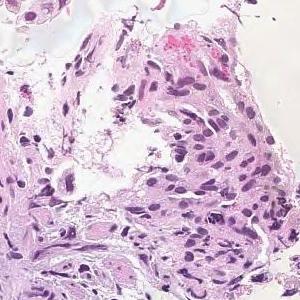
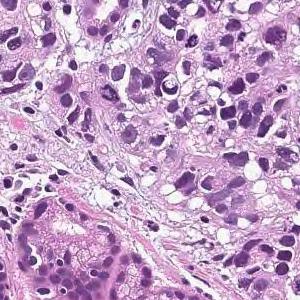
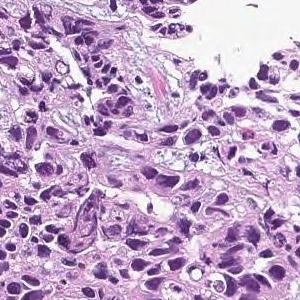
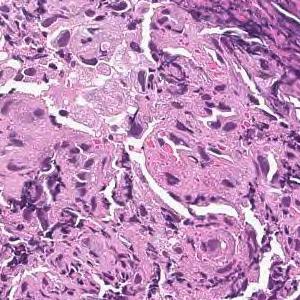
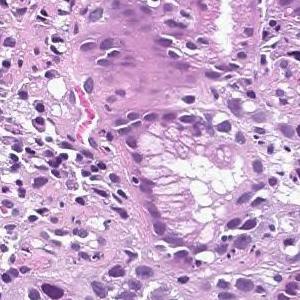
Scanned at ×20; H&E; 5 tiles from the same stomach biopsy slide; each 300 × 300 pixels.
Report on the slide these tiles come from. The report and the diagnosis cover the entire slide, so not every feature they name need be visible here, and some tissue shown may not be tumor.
Tumor tissue consisting of cord-like or small, irregular glandular ducts fused and infiltrated is observed in the superficial epithelium. Poorly differentiated adenocarcinoma, non-solid type
The term "non-solid type" comes from the Japanese Classification of Gastric Carcinoma.
